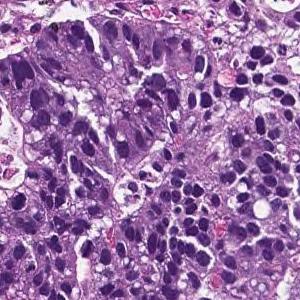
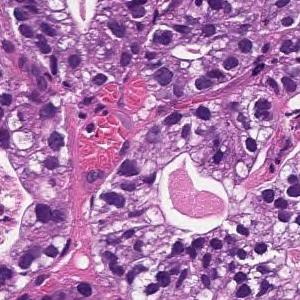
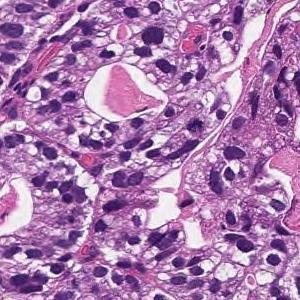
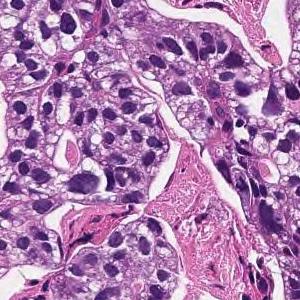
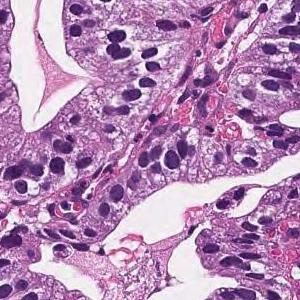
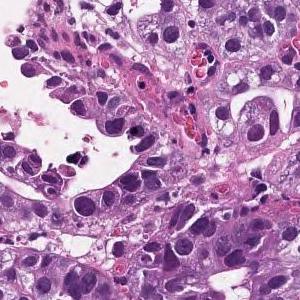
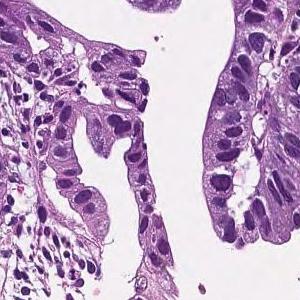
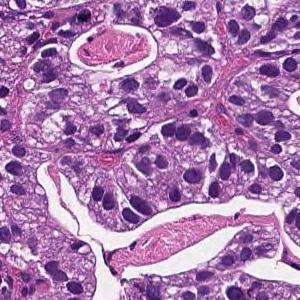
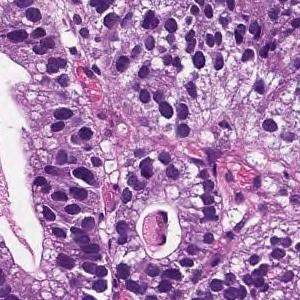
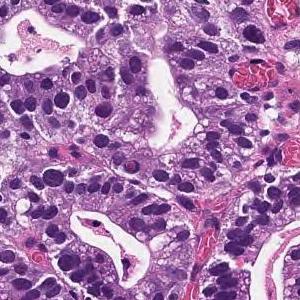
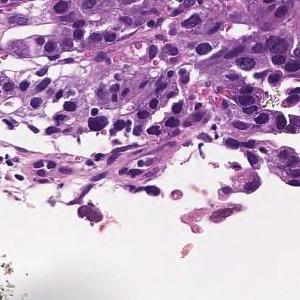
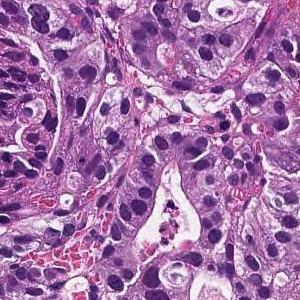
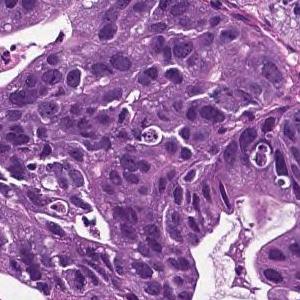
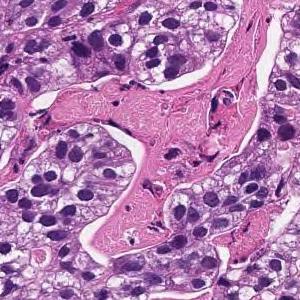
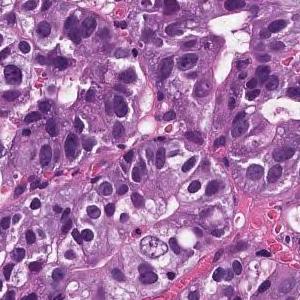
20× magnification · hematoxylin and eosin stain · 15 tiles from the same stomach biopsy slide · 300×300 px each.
Report on the slide these tiles come from. Both the report and the diagnosis are for the whole slide: these tiles need not show every feature named, and some of the tissue shown may not be tumor.
On the superficial epithelium, tumor tissue consisting of large, irregular glandular ducts partially fused and infiltrated is observed. Well to moderately differentiated tubular adenocarcinoma (well differentiated tubular adenocarcinoma, moderately differentiated tubular adenocarcinoma)
Tumor subtype: well to moderately differentiated tubular adenocarcinoma.
